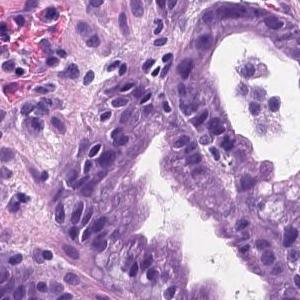
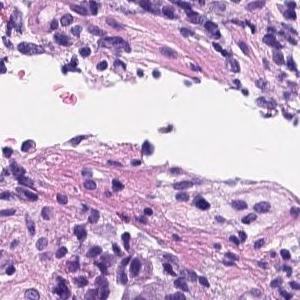
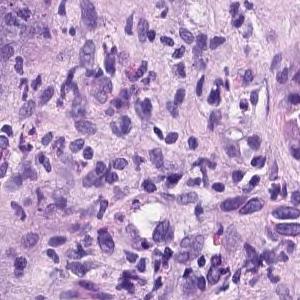
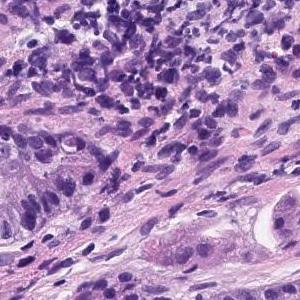
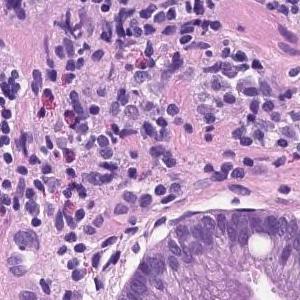
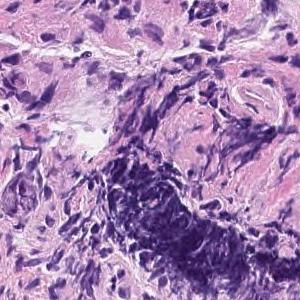
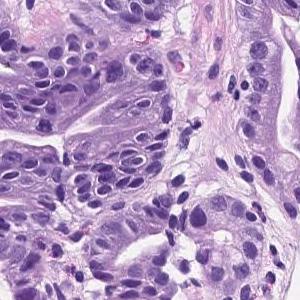
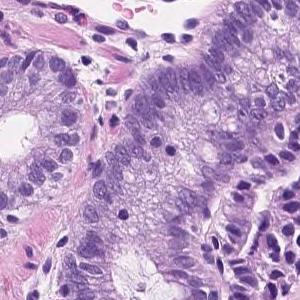
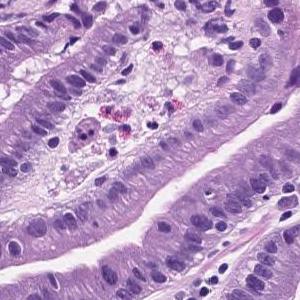
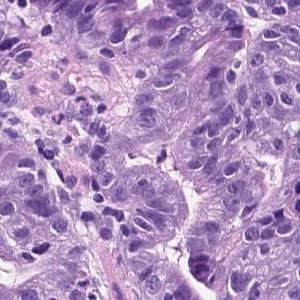
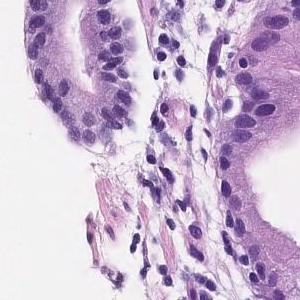
11 image tiles from a single gastric biopsy slide; 300×300 px each; H&E; ×20.
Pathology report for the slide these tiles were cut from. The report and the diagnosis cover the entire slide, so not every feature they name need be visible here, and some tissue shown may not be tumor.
Tumor tissue consisting of medium-sized and irregular ducts is observed infiltrating in the superficial epithelium. Tumor cells are highly columnar, with nuclei aligned basolaterally and polarized. Well differentiated tubular adenocarcinoma.
